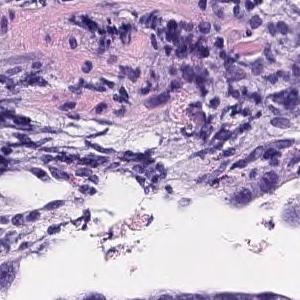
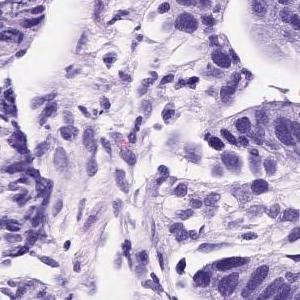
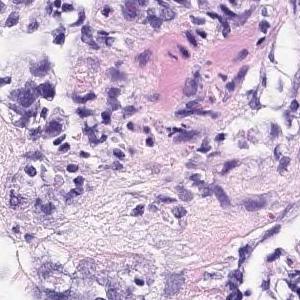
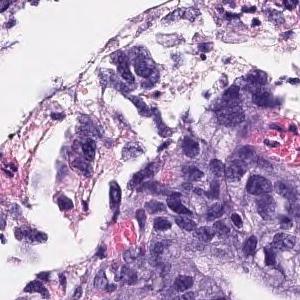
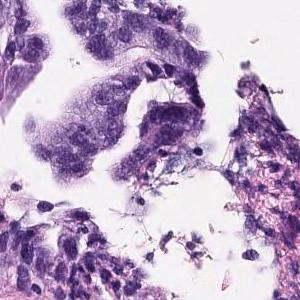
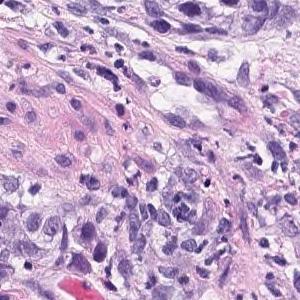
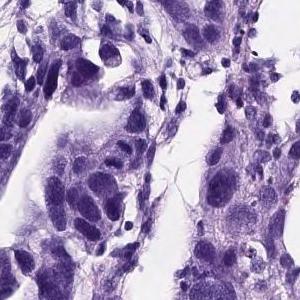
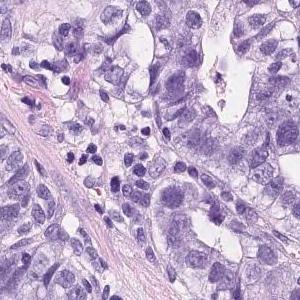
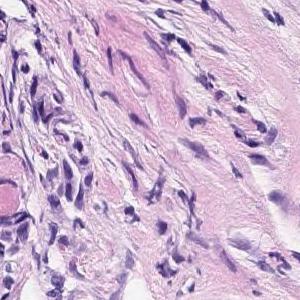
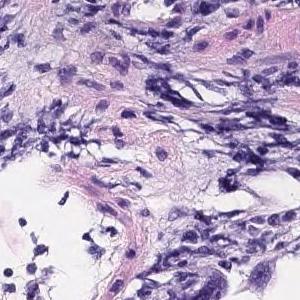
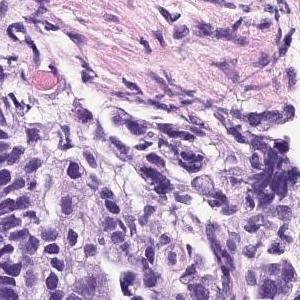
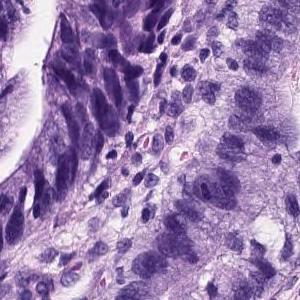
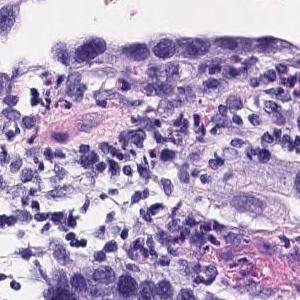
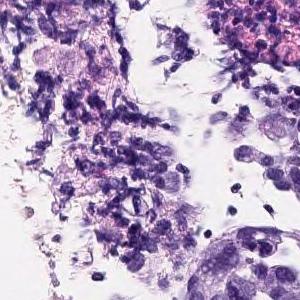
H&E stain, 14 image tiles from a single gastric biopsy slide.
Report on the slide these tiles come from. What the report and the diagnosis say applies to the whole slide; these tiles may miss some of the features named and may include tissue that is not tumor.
On the superficial epithelium, tumor tissue consisting of medium to small irregular tubules partially fused and proliferated is observed. moderately differentiated tubular adenocarcinoma
